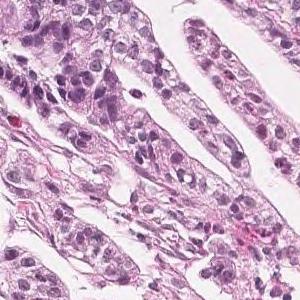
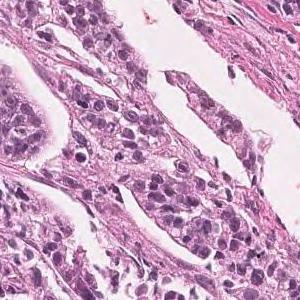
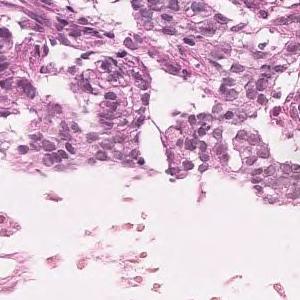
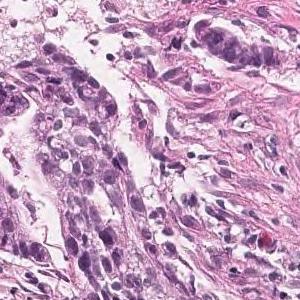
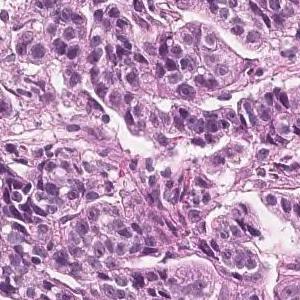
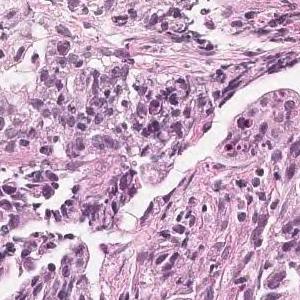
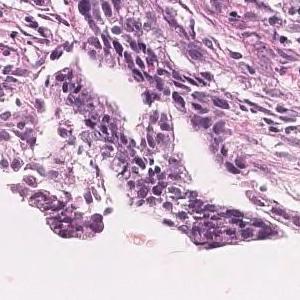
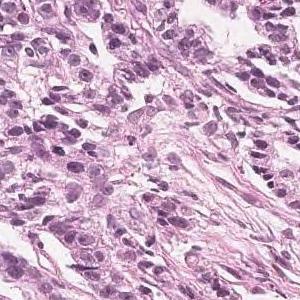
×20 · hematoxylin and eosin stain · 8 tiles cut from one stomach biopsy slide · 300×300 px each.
Pathology report for the biopsy slide these tiles were cut from. Both the report and the diagnosis are for the whole slide: these tiles need not show every feature named, and some of the tissue shown may not be tumor.
Tumor tissue in which highly columnar atypical epithelial cells with nuclear enlargement and increased nuclear chromatin show papillary to papillary ductal structure and proliferate is observed. Papillary adenocarcinoma.
